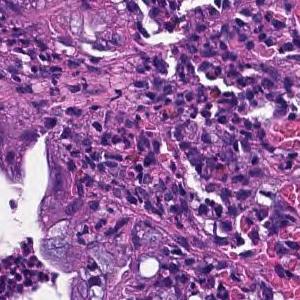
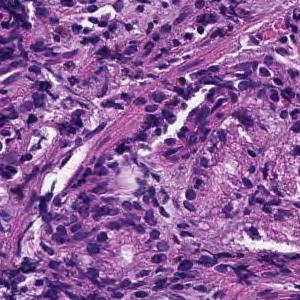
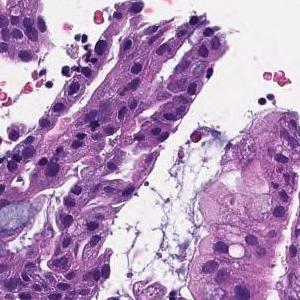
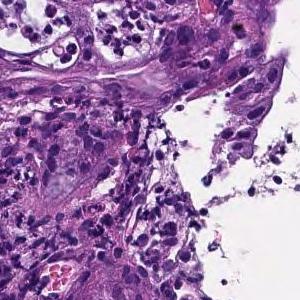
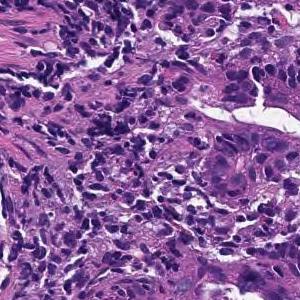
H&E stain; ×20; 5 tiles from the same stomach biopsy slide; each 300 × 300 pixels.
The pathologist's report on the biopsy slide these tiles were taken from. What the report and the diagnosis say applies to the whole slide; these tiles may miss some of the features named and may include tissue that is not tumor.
In the superficial epithelium, tumor tissue that invades by forming medium-sized to small, irregular ducts is observed. moderately differentiated tubular adenocarcinoma.
